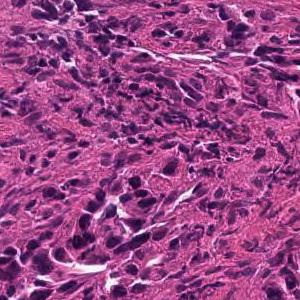
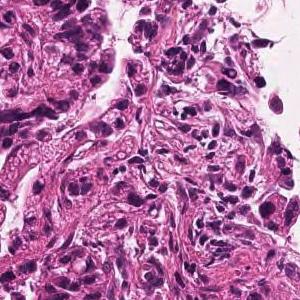
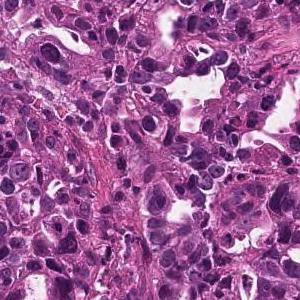
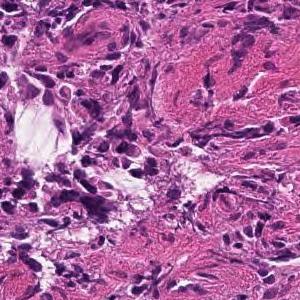
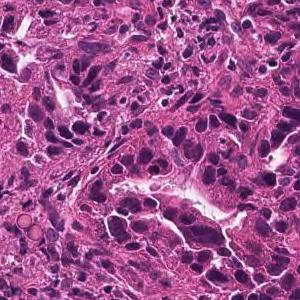
H&E stain · scanned at ×20 · 5 image tiles from a single gastric biopsy slide · 300 × 300 pixels each.
Pathology report for the biopsy slide these tiles were cut from. Both the report and the diagnosis are for the whole slide: these tiles need not show every feature named, and some of the tissue shown may not be tumor.
In the superficial epithelium, tumor tissue that invades by forming medium-sized to small, irregular ducts is observed. moderately differentiated tubular adenocarcinoma.
